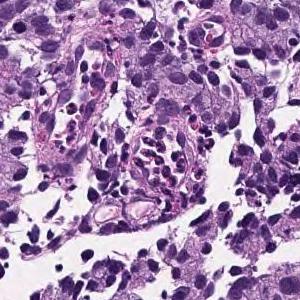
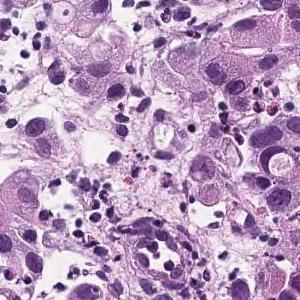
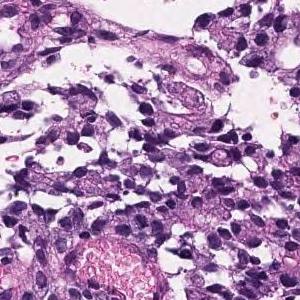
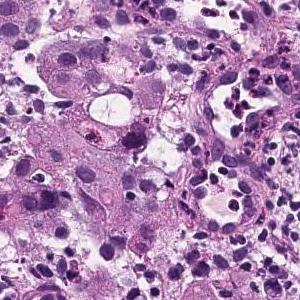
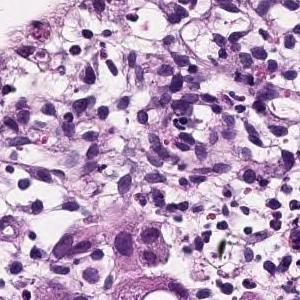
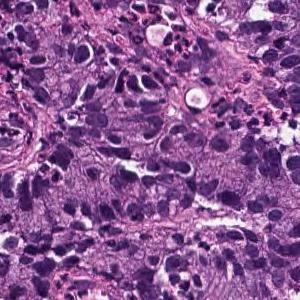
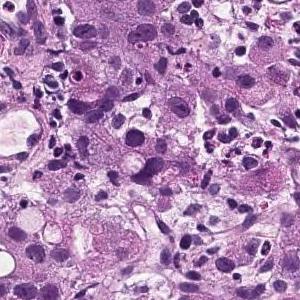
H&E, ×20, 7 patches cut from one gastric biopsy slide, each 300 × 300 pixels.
The pathologist's report on the biopsy slide these tiles were taken from. The findings and the diagnosis refer to the entire slide; these tiles show only part of it, possibly with non-tumor tissue, and may not show every feature named.
Tumor tissue infiltrated by irregular fusion of small cord-like structures is found in the superficial epithelium. Poorly differentiated adenocarcinoma, non-solid type
The term "non-solid type" comes from the Japanese Classification of Gastric Carcinoma.
